8 tiles cut from one stomach biopsy slide; 20× magnification.
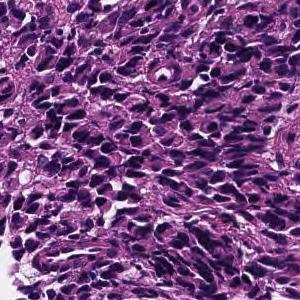
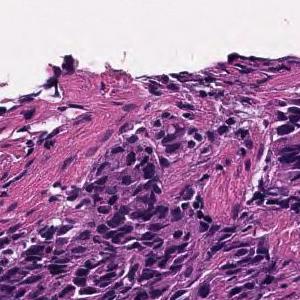
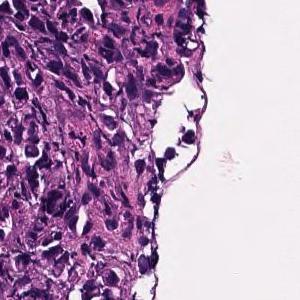
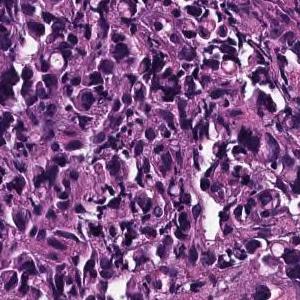
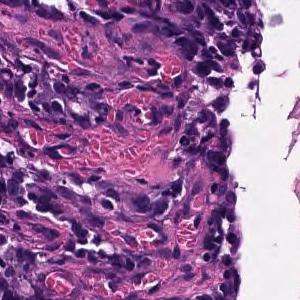
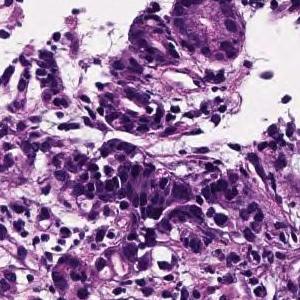
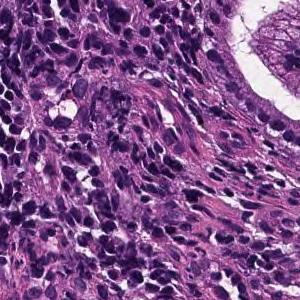
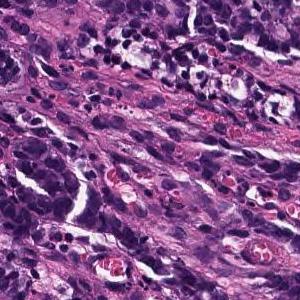
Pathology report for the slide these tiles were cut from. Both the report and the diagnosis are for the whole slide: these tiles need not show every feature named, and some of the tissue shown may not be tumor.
Poorly differentiated, solid adenocarcinoma (poorly differentiated adenocarcinoma, solid type) with tumor tissue diffusely infiltrated with atypical epithelial cells
Classified as poorly differentiated adenocarcinoma, solid type (Japanese Classification of Gastric Carcinoma). The WHO 2019 equivalent is tubular adenocarcinoma, poorly differentiated.
